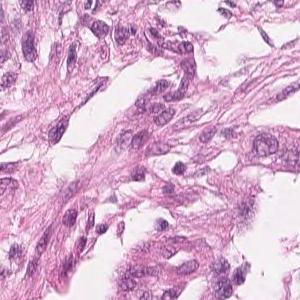
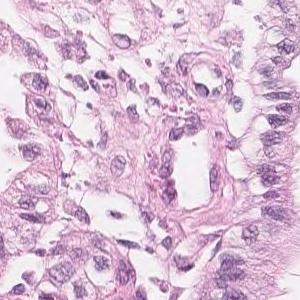
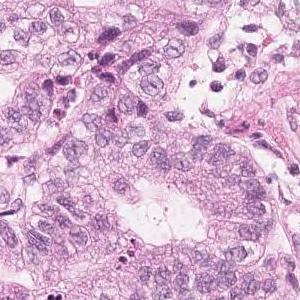
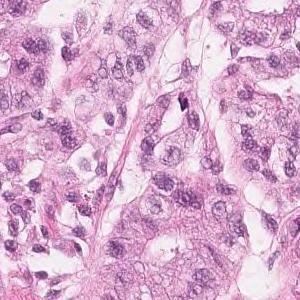
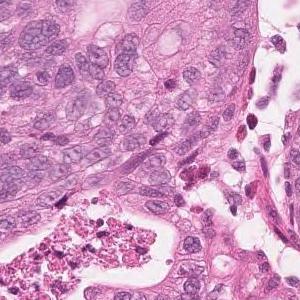
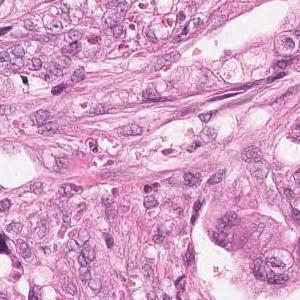
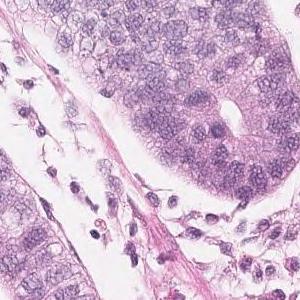
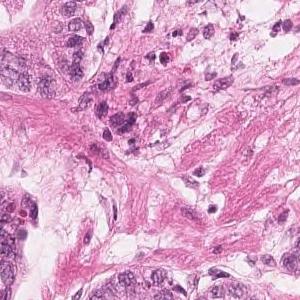
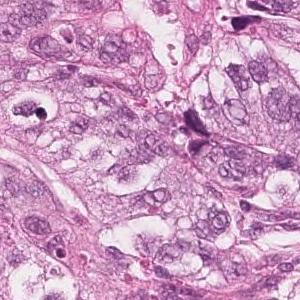
Hematoxylin and eosin stain · 9 tiles from the same stomach biopsy slide · 300 × 300 pixels each.
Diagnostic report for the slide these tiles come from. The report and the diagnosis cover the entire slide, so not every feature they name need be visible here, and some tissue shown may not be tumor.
Highly columnar epithelium with disordered nuclear localization proliferates showing fusion ductal construction. moderately differentiated tubular adenocarcinoma
